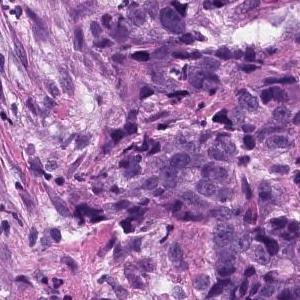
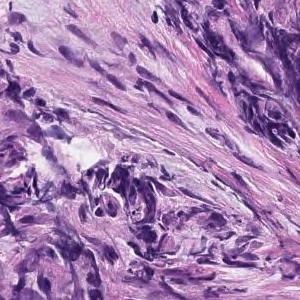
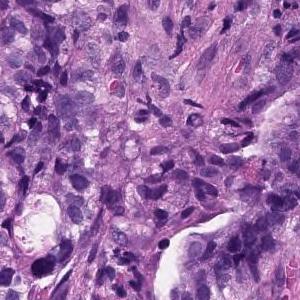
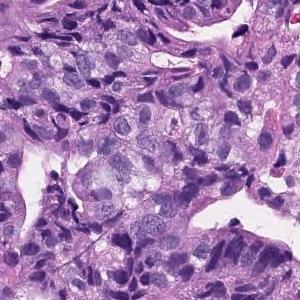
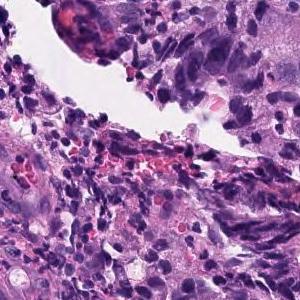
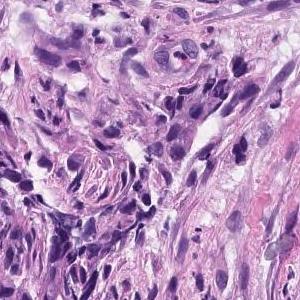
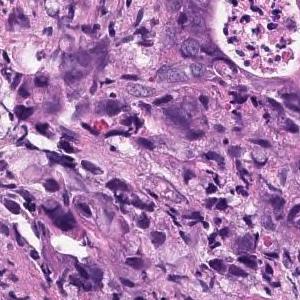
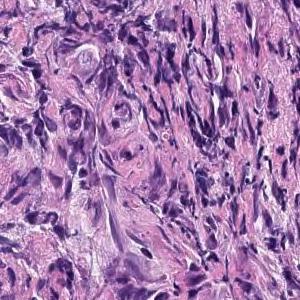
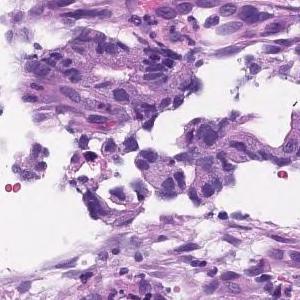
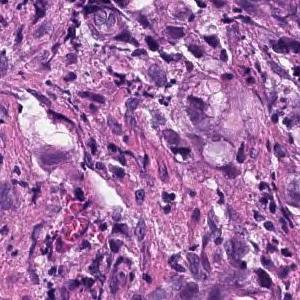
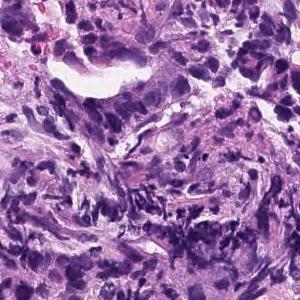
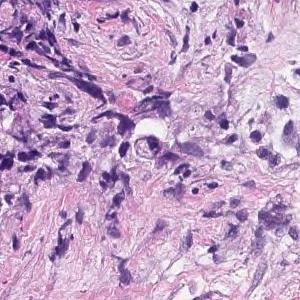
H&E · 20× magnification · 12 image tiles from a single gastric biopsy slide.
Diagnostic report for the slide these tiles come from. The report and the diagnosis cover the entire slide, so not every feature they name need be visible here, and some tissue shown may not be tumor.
Medium to small, irregular glandular ducts are formed in the superficial epithelium, and in some cases, the glandular ducts are fused to show solid alveolar lesions and infiltrating tumor tissue is observed. Moderately to poorly differentiated adenocarcinoma.
